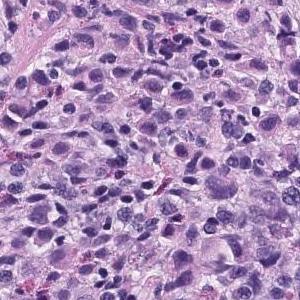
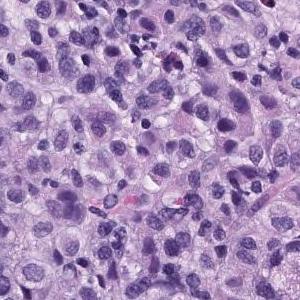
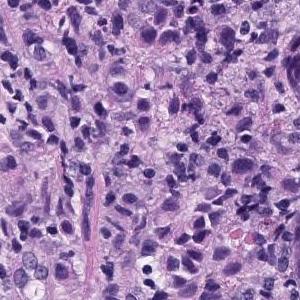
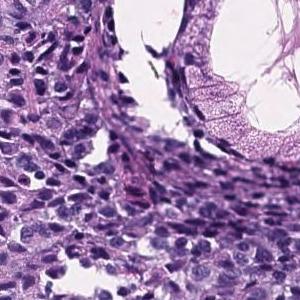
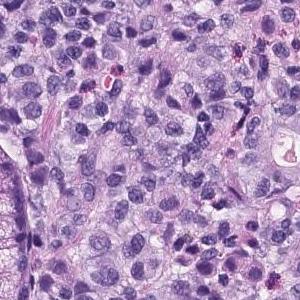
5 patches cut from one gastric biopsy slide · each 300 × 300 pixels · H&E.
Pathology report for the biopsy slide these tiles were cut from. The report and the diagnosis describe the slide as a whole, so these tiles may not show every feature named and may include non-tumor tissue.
There are medium-sized atypical cells with marked nuclear swelling and increased N/C ratio, which grow into solid or isolated scattered cells. Poorly differentiated adenocarcinoma
Tumor subtype: poorly differentiated adenocarcinoma, solid type. This name comes from the Japanese Classification of Gastric Carcinoma; the WHO 2019 classification calls it tubular adenocarcinoma, poorly differentiated.
